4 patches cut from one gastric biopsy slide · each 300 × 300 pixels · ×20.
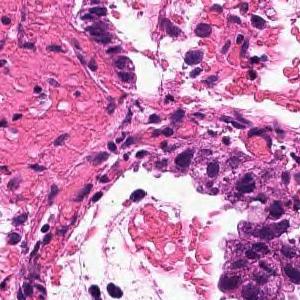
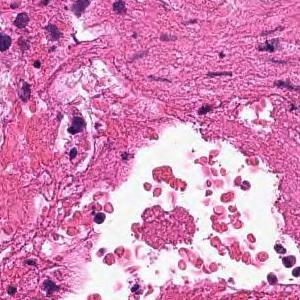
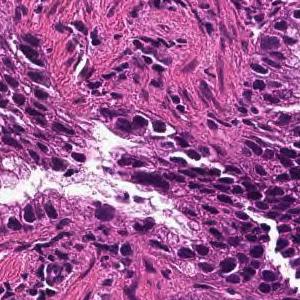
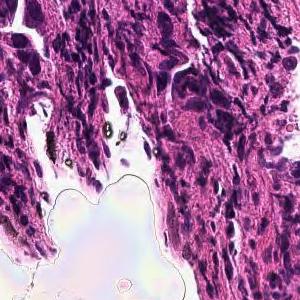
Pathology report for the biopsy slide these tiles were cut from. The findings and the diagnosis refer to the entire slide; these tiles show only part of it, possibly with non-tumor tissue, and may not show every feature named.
From the superficial epithelium to the muscularis mucosae, tumor tissue infiltrating by forming medium-sized irregular gland ducts is observed. Well differentiated tubular adenocarcinoma
